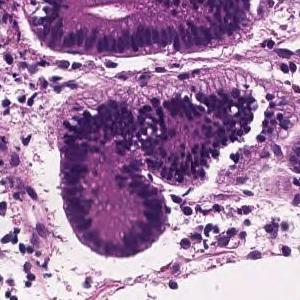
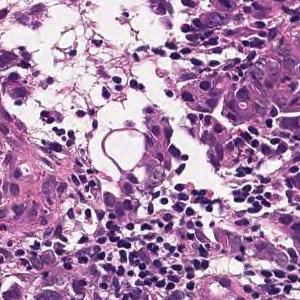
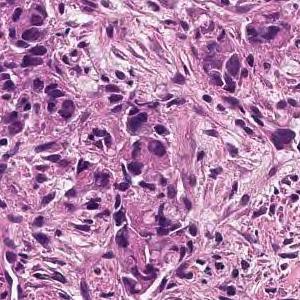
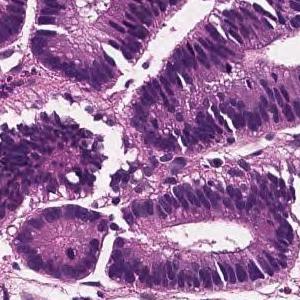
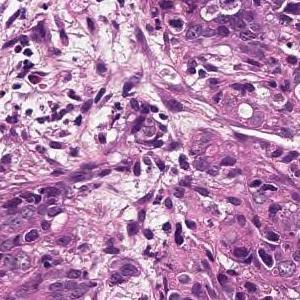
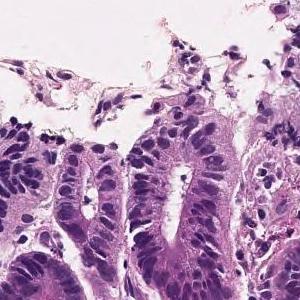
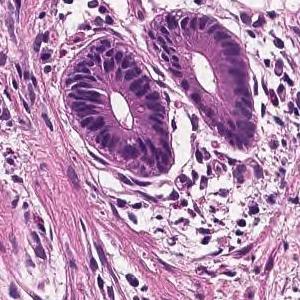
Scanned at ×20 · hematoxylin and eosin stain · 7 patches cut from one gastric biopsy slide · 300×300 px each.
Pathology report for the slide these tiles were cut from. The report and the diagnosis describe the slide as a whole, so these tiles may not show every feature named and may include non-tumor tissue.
Tumor tissue consisting of cord-like or small, irregular glandular ducts fused and infiltrated is observed in the superficial epithelium. Poorly differentiated adenocarcinoma, non-solid type
The term "non-solid type" comes from the Japanese Classification of Gastric Carcinoma.
